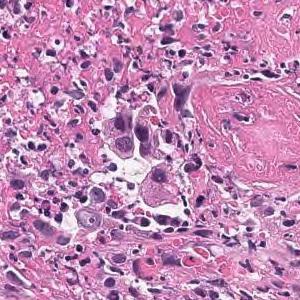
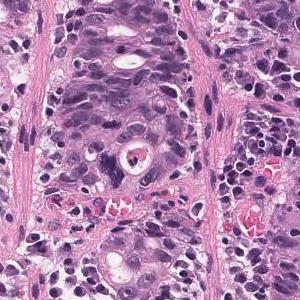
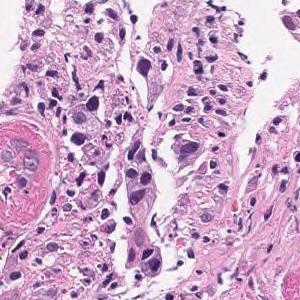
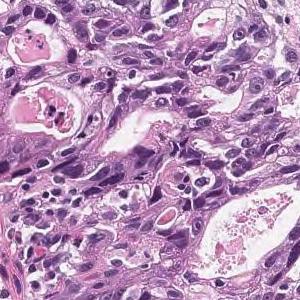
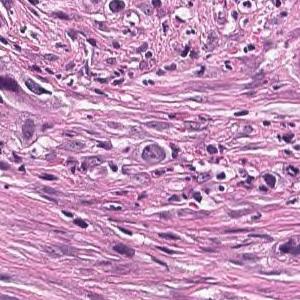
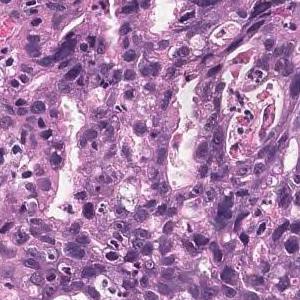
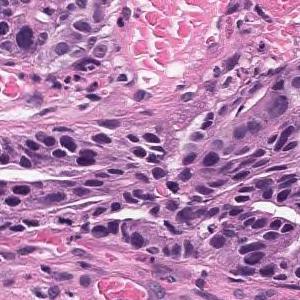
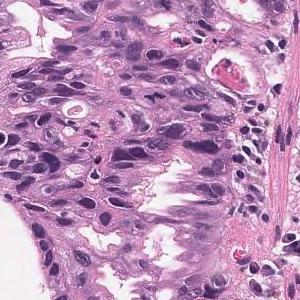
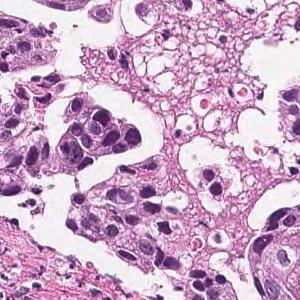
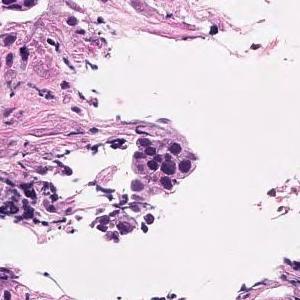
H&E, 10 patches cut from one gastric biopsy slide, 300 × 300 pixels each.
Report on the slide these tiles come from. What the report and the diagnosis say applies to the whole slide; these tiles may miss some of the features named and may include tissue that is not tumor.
Tumor cells are large, highly columnar, large club-shaped nuclei, and are associated with chromatin aggregation. Papillary adenocarcinoma.
